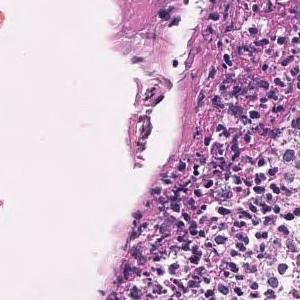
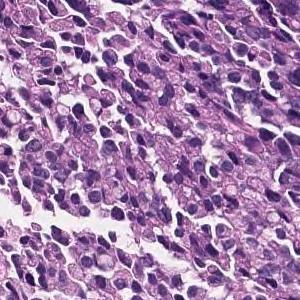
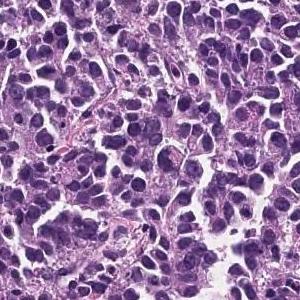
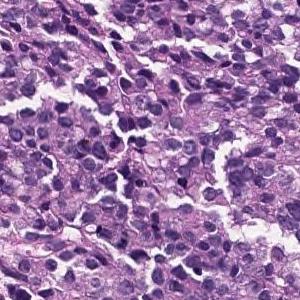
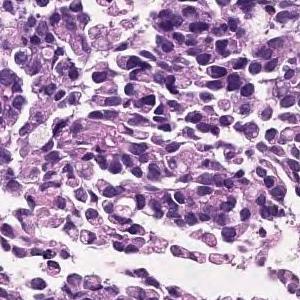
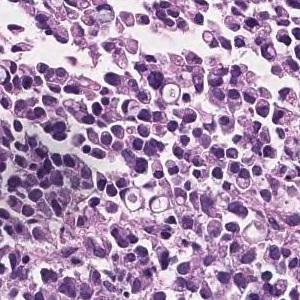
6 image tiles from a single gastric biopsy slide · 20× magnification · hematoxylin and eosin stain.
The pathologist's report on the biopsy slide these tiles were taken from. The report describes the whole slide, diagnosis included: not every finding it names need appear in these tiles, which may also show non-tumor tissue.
The superficial epithelium shows a large sheet-like shape, and some tumor tissue infiltrates with small irregular ducts. Poorly differentiated adenocarcinoma, solid-type
Tumor subtype: poorly differentiated adenocarcinoma, solid type, a category of the Japanese Classification of Gastric Carcinoma; in the WHO 2019 classification it is tubular adenocarcinoma, poorly differentiated.
